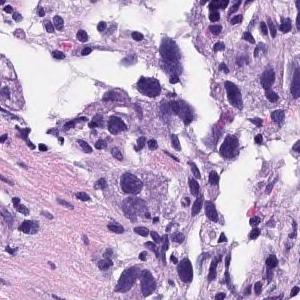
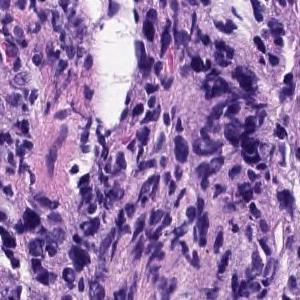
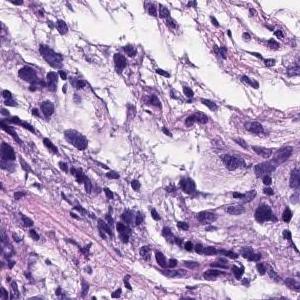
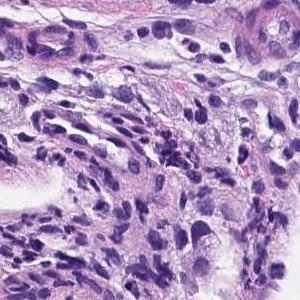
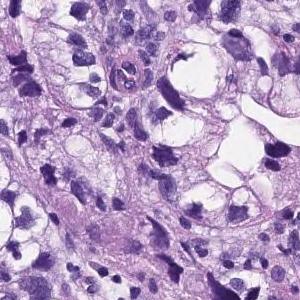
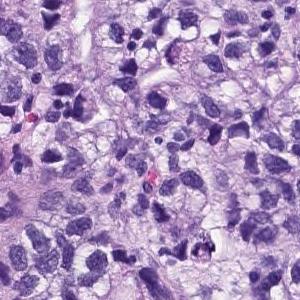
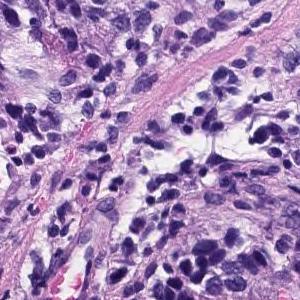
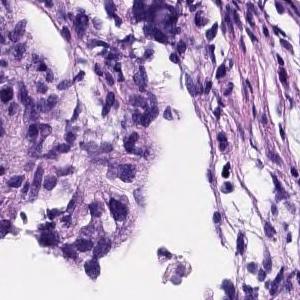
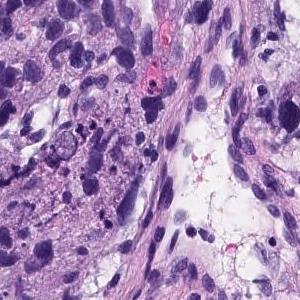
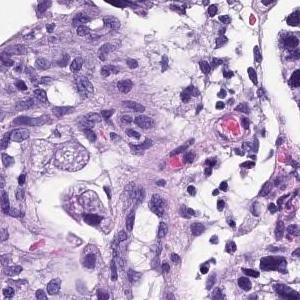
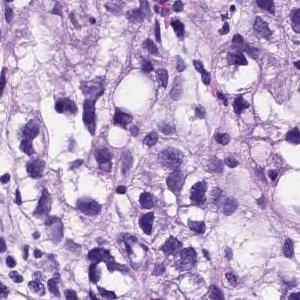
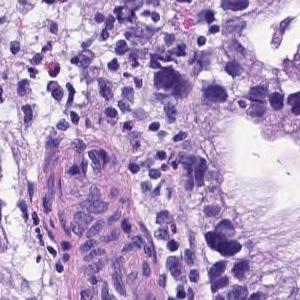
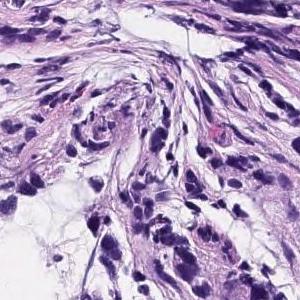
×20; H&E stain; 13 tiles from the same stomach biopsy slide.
Pathology report for the biopsy slide these tiles were cut from. The report and the diagnosis cover the entire slide, so not every feature they name need be visible here, and some tissue shown may not be tumor.
Medium to small, irregular glandular ducts are formed in the superficial epithelium, and in some cases, the glandular ducts are fused to show solid alveolar lesions and infiltrating tumor tissue is observed. Poorly differentiated adenocarcinoma, Moderately differentiated adenocarcinoma.
Dataset label: moderately differentiated tubular adenocarcinoma.
